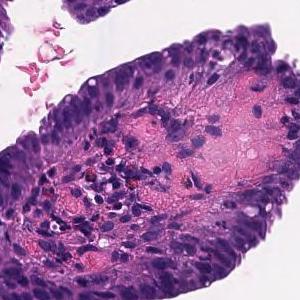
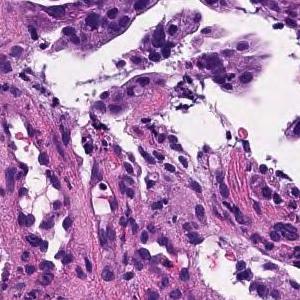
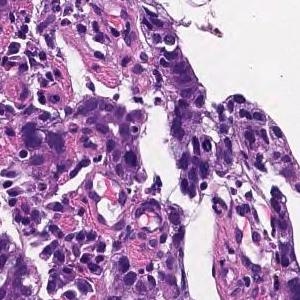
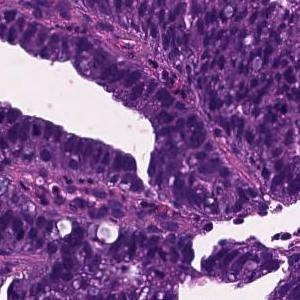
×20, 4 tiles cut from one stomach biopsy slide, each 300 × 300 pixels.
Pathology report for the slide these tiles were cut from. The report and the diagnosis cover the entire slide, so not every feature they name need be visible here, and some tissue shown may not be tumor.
Tumor cells are large, highly columnar, large club-shaped nuclei, and are associated with chromatin aggregation. Papillary adenocarcinoma.
